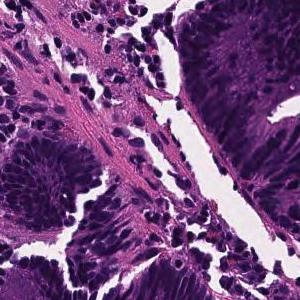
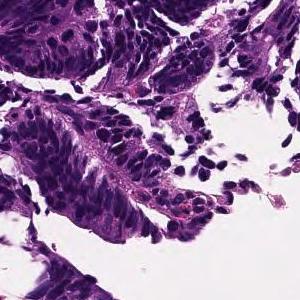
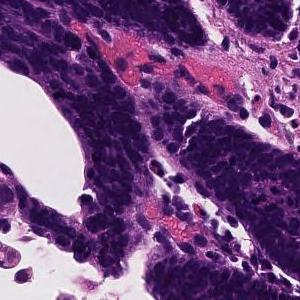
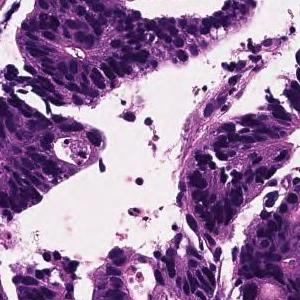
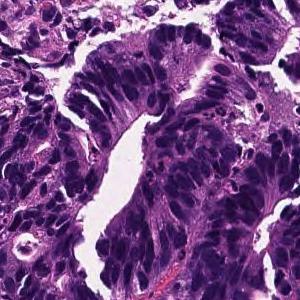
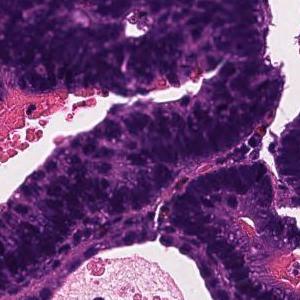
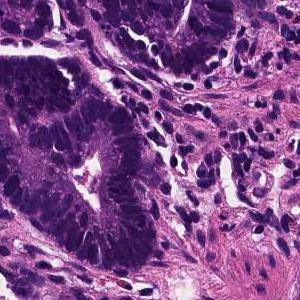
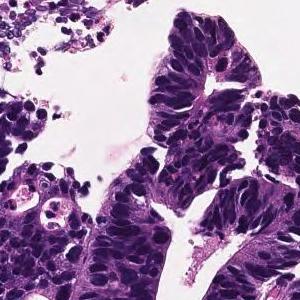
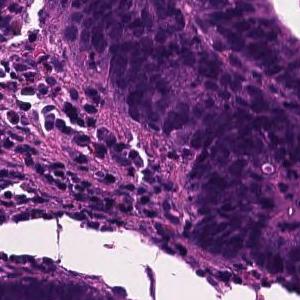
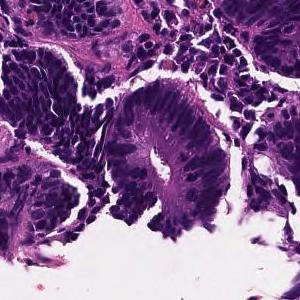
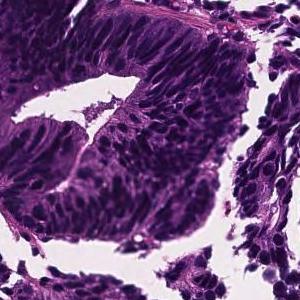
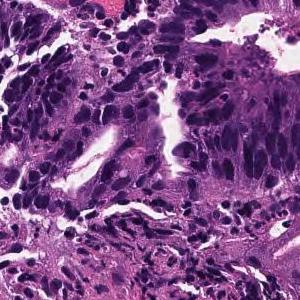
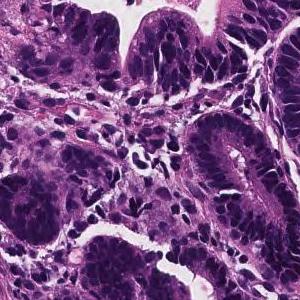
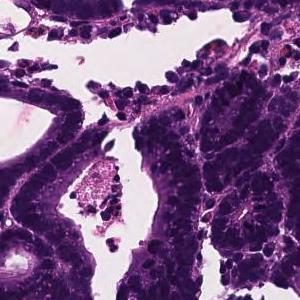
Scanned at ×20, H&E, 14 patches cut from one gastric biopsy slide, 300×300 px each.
The pathologist's report on the biopsy slide these tiles were taken from. The findings and the diagnosis refer to the entire slide; these tiles show only part of it, possibly with non-tumor tissue, and may not show every feature named.
On the superficial epithelium, tumor tissue consisting of medium-sized and irregular glandular ducts partially fused and infiltrated is observed. Well to moderately differentiated tubular adenocarcinoma (well differentiated tubular adenocarcinoma, moderately differentiated tubular adenocarcinoma)
Histological subtype: Well to moderately differentiated tubular adenocarcinoma.
